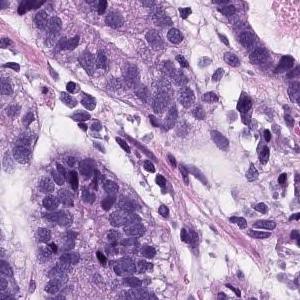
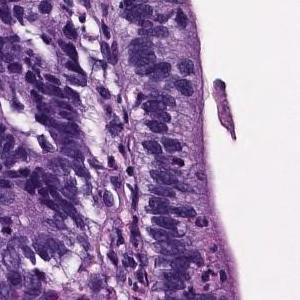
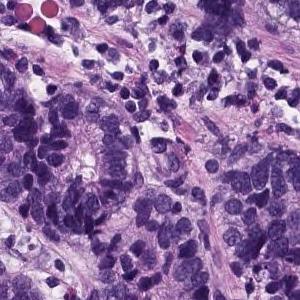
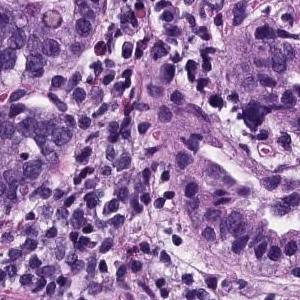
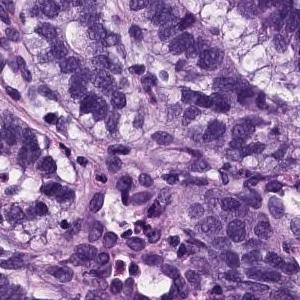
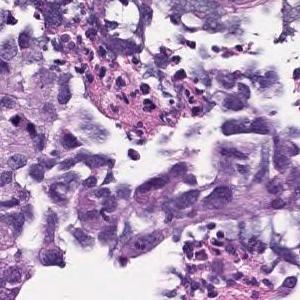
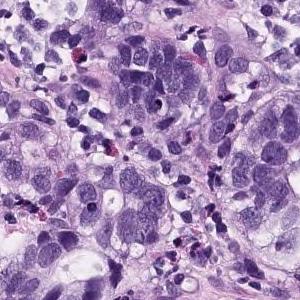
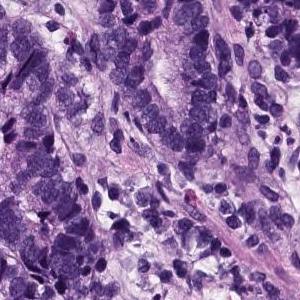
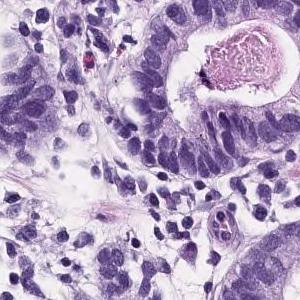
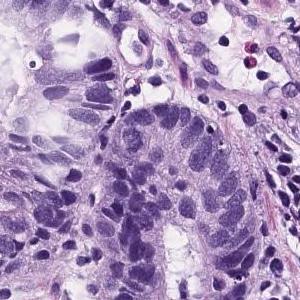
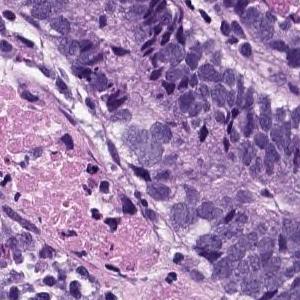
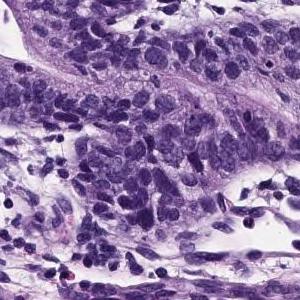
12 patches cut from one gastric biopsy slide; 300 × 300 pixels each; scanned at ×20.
Report on the slide these tiles come from. Both the report and the diagnosis are for the whole slide: these tiles need not show every feature named, and some of the tissue shown may not be tumor.
On the superficial epithelium, tumor tissue consisting of large, irregular glandular ducts partially fused and infiltrated is observed. Well to moderately differentiated tubular adenocarcinoma (well differentiated tubular adenocarcinoma, moderately differentiated tubular adenocarcinoma)
The dataset labels this slide well differentiated tubular adenocarcinoma.
